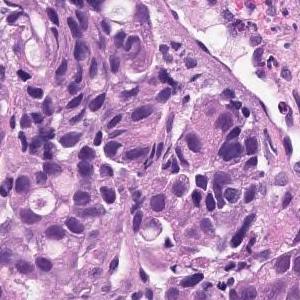
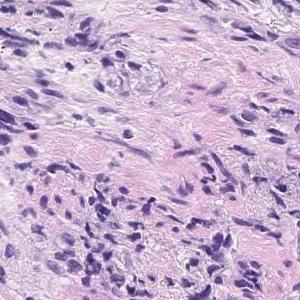
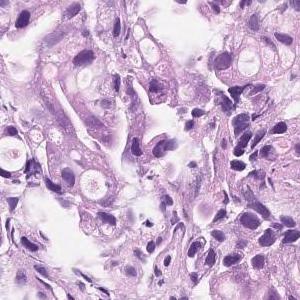
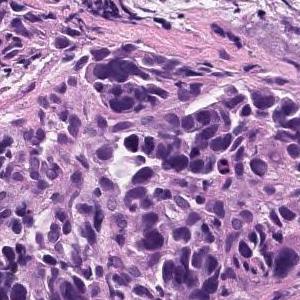
×20; hematoxylin and eosin stain; 4 patches cut from one gastric biopsy slide; 300 × 300 pixels each.
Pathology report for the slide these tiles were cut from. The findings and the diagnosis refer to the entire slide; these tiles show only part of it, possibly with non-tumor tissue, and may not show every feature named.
Group 5, Moderately differentiated adenocarcinoma
Classified as moderately differentiated tubular adenocarcinoma.
